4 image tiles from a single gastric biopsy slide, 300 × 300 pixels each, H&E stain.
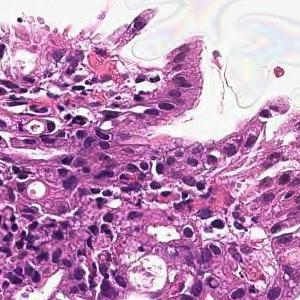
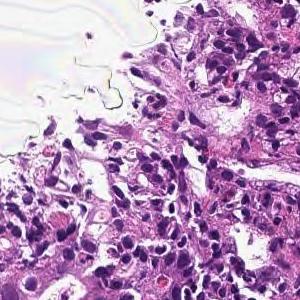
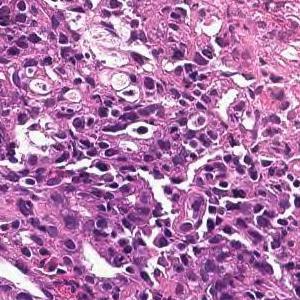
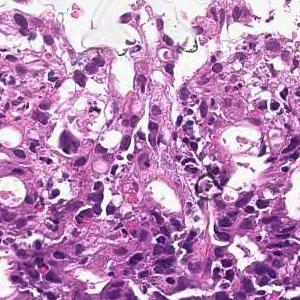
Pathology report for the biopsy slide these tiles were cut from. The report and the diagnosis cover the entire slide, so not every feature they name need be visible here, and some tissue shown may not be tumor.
In the superficial epithelium, tumor tissue that invades by forming medium-sized to small, irregular ducts is observed. moderately differentiated tubular adenocarcinoma.
